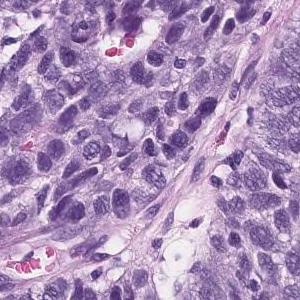
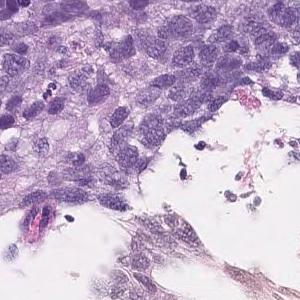
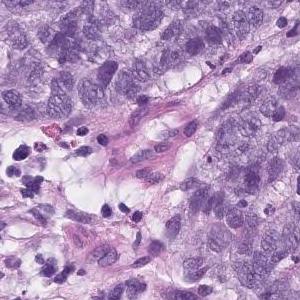
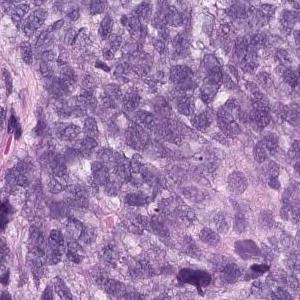
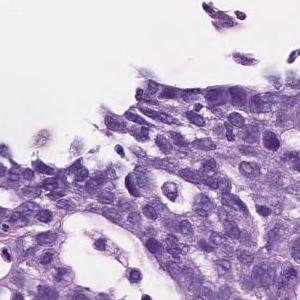
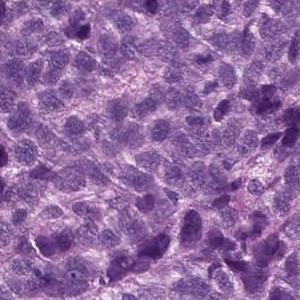
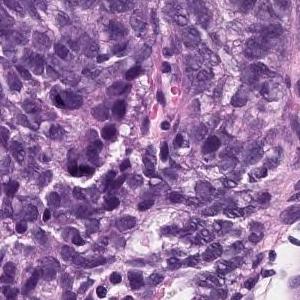
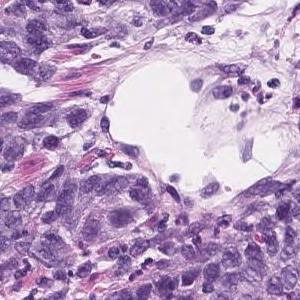
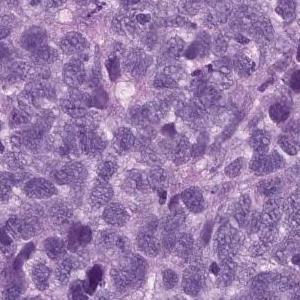
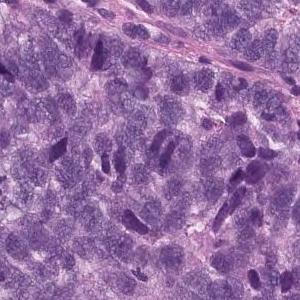
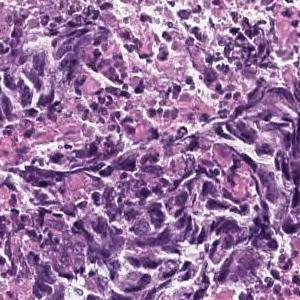
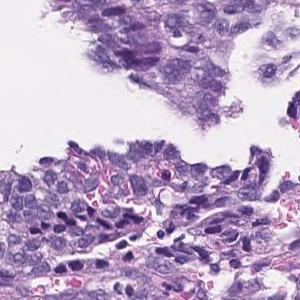
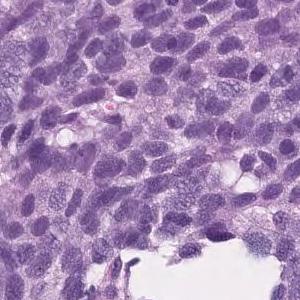
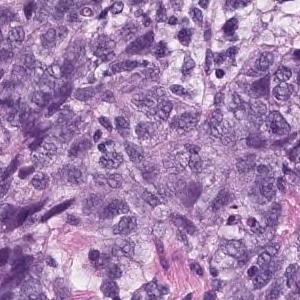
H&E stain, 14 tiles from the same stomach biopsy slide, 300 × 300 pixels each.
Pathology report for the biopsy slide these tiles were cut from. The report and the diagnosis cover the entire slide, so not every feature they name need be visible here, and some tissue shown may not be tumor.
Epithelial cells with swollen nuclei with atypia invasively proliferating while forming vesicles is observed. Poorly differentiated adenocarcinoma
Histologic type: Poorly differentiated adenocarcinoma, solid type, a category of the Japanese Classification of Gastric Carcinoma; in the WHO 2019 classification it is tubular adenocarcinoma, poorly differentiated.
